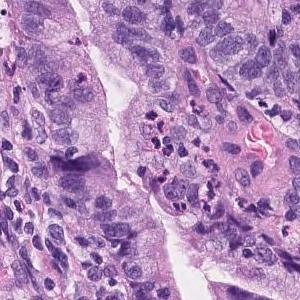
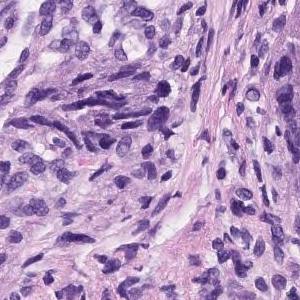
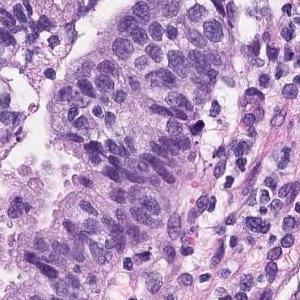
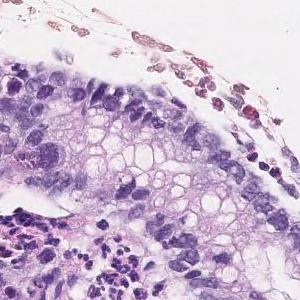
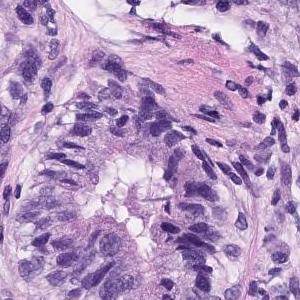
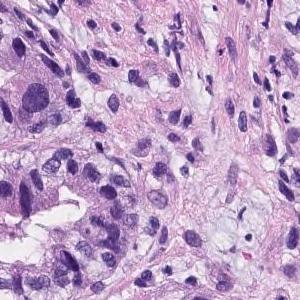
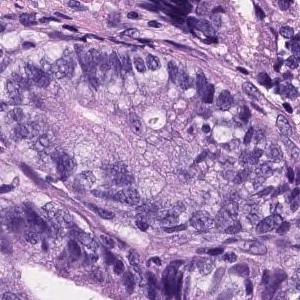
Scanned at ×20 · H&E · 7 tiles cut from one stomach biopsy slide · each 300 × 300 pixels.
The pathologist's report on the biopsy slide these tiles were taken from. The report and the diagnosis cover the entire slide, so not every feature they name need be visible here, and some tissue shown may not be tumor.
Tumor cells are large, highly columnar, large club-shaped nuclei, and are associated with chromatin aggregation. Papillary adenocarcinoma.
